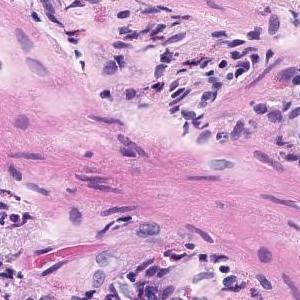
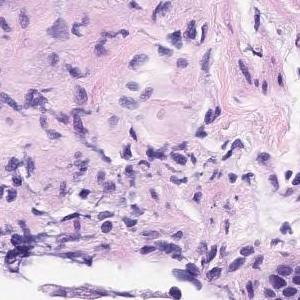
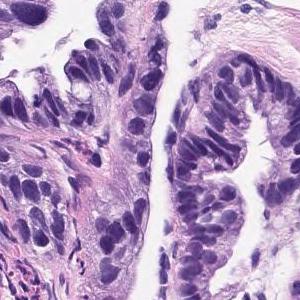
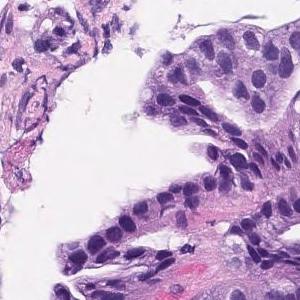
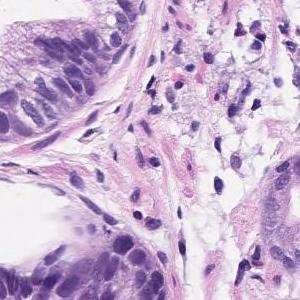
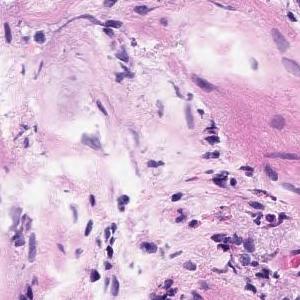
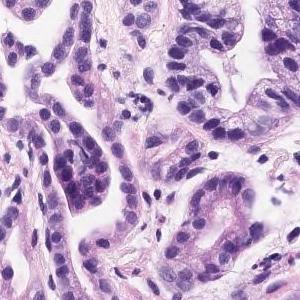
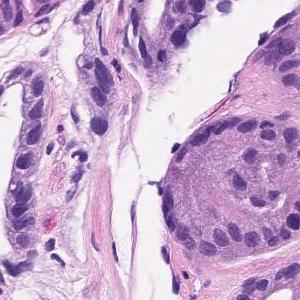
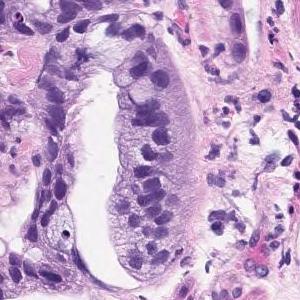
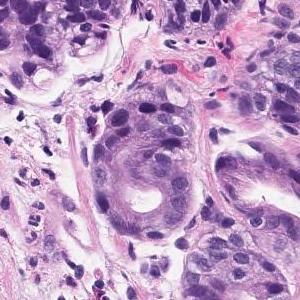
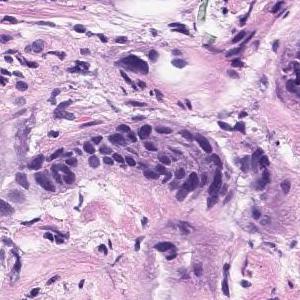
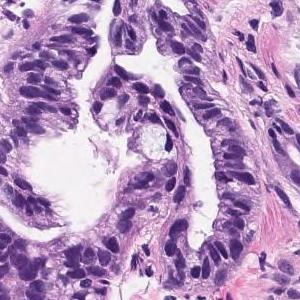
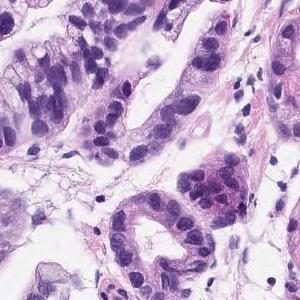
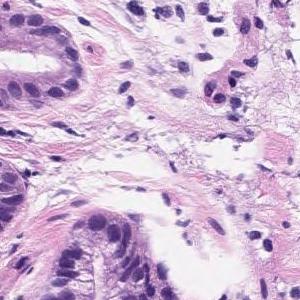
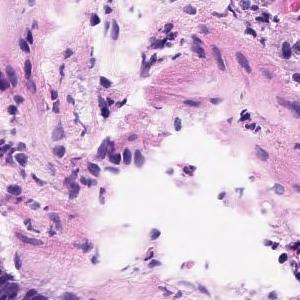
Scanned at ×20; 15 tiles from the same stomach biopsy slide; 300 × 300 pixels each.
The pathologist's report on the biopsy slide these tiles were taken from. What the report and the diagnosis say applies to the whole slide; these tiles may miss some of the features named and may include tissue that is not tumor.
The superficial tumors shows large papillary structures or large and small ducts and infiltrates. Papillary adenocarcinoma.
